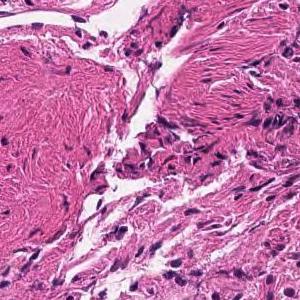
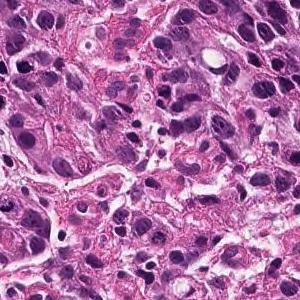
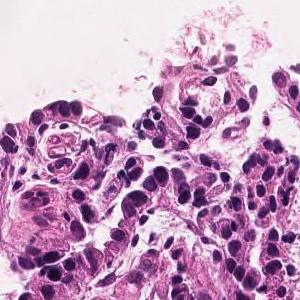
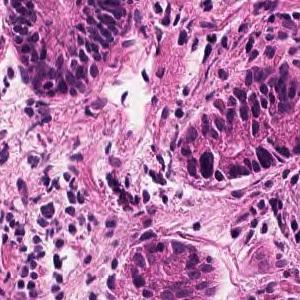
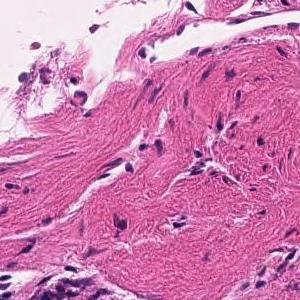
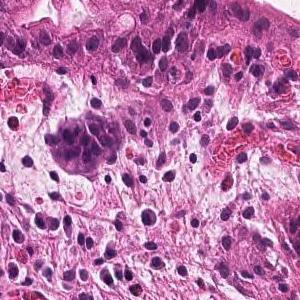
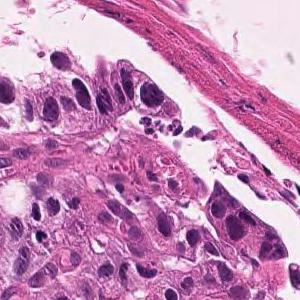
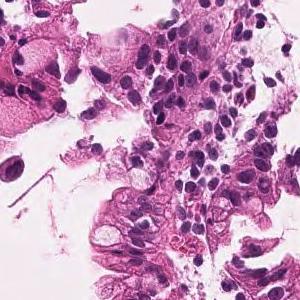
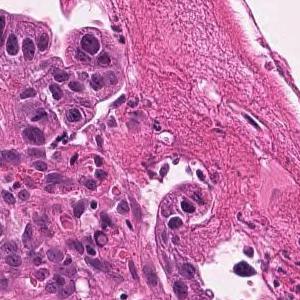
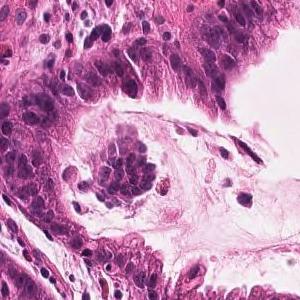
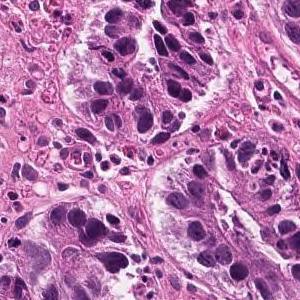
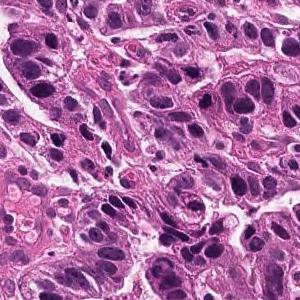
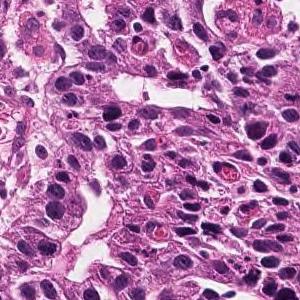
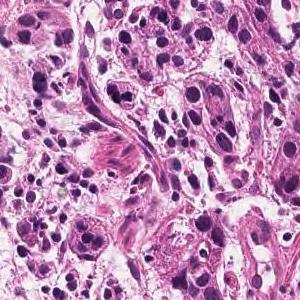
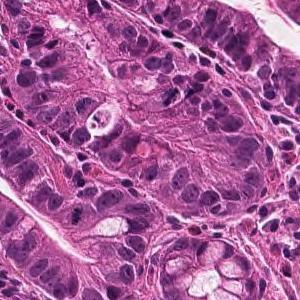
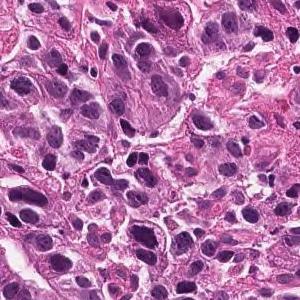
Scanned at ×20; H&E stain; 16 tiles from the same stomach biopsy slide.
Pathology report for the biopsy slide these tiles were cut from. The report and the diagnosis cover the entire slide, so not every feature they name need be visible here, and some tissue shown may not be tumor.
Tumor tissue consisting of medium-sized, cord-like or irregular glandular infiltration is observed in the superficial epithelium. Poorly differentiated adenocarcinoma, non-solid type or moderately differentiated tubular adenocarcinoma
Histological subtype: Moderately to poorly differentiated adenocarcinoma.
The term "non-solid type" comes from the Japanese Classification of Gastric Carcinoma.
